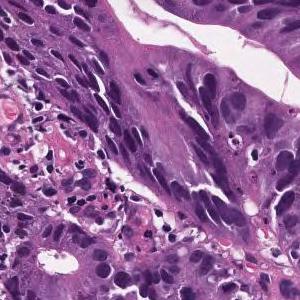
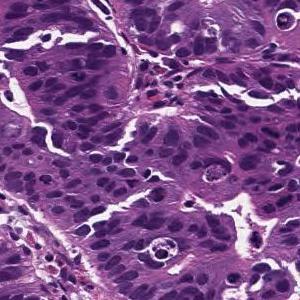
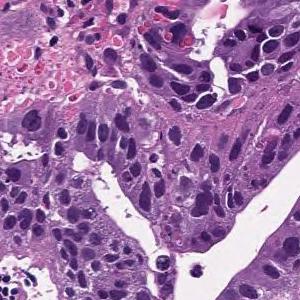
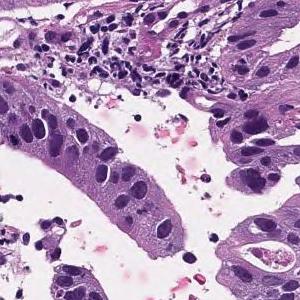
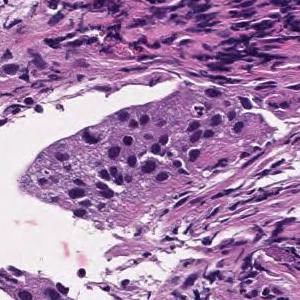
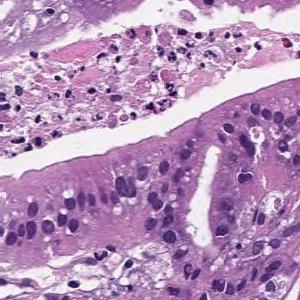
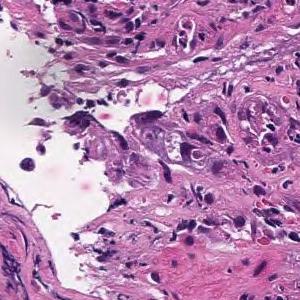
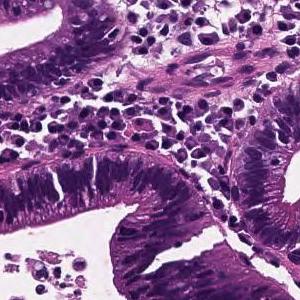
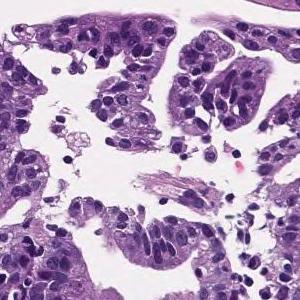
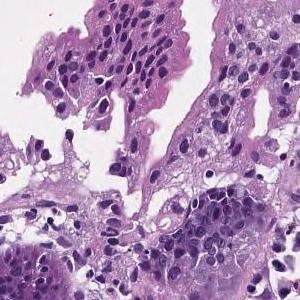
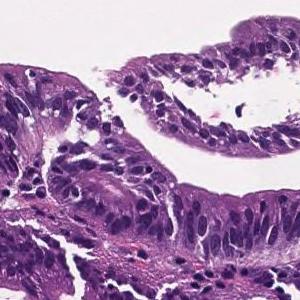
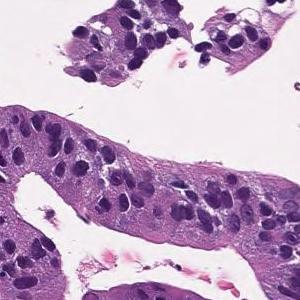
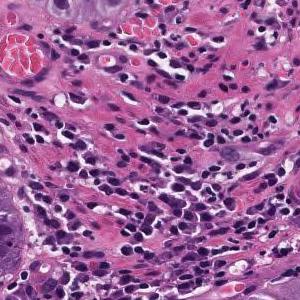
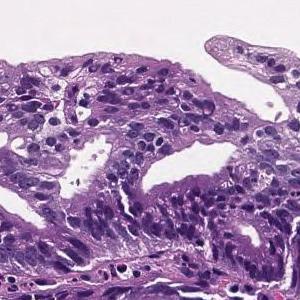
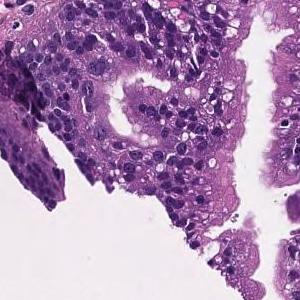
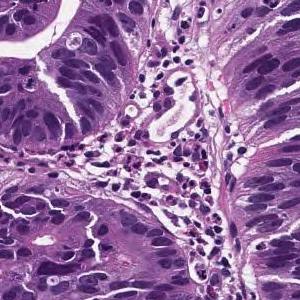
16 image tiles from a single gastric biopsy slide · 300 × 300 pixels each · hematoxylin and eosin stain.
The pathologist's report on the biopsy slide these tiles were taken from. Both the report and the diagnosis are for the whole slide: these tiles need not show every feature named, and some of the tissue shown may not be tumor.
Tumor cells are large, highly columnar, large club-shaped nuclei, and are associated with chromatin aggregation. Papillary adenocarcinoma.
